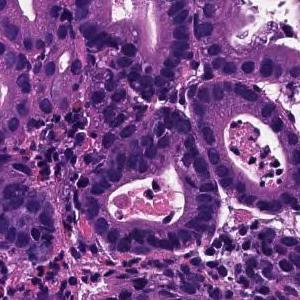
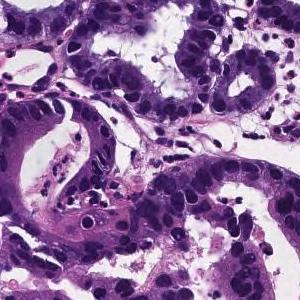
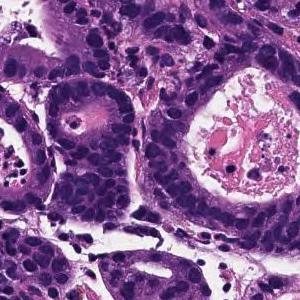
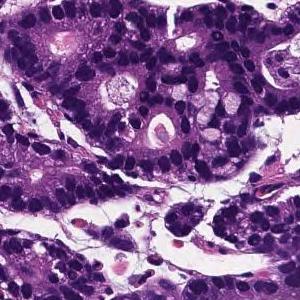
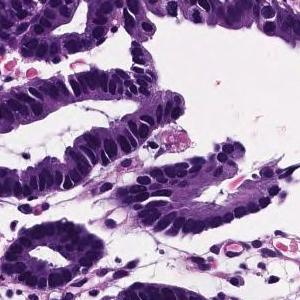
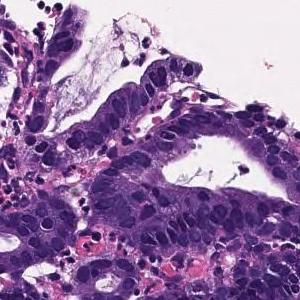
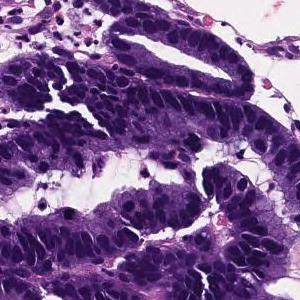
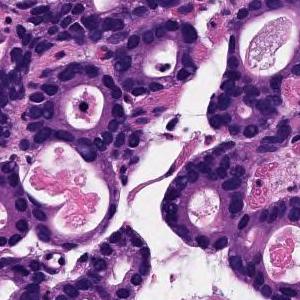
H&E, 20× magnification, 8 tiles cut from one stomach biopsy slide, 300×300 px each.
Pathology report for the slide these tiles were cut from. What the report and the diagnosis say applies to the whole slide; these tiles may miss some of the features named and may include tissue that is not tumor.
From the superficial epithelium to the muscularis mucosae, tumor tissue consisting of medium-sized and irregular glandular ducts infiltrating is observed. Well differentiated tubular adenocarcinoma
